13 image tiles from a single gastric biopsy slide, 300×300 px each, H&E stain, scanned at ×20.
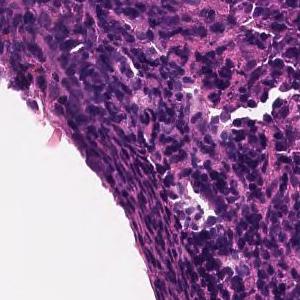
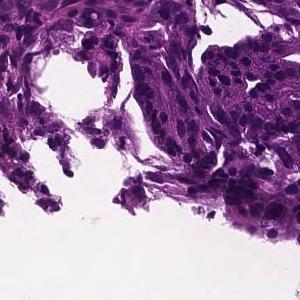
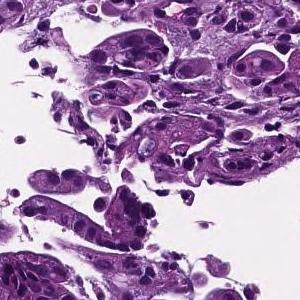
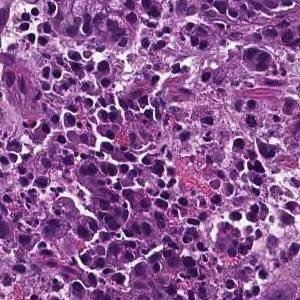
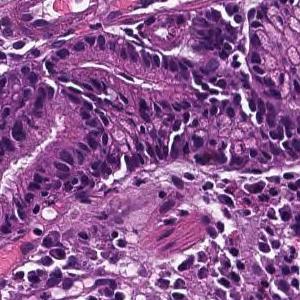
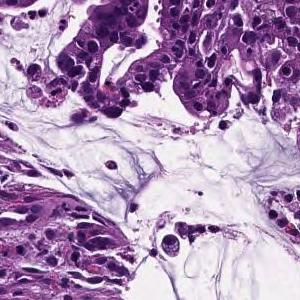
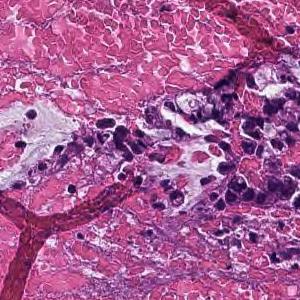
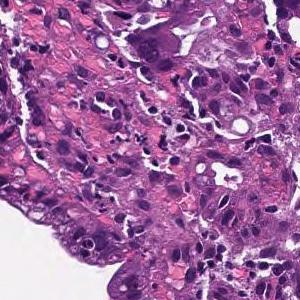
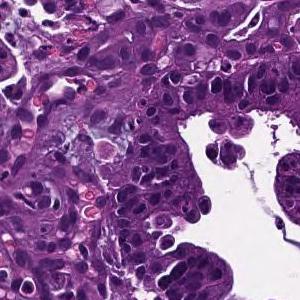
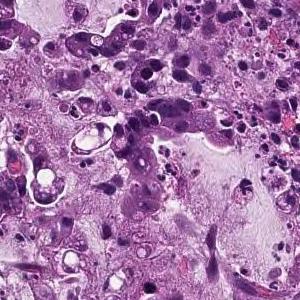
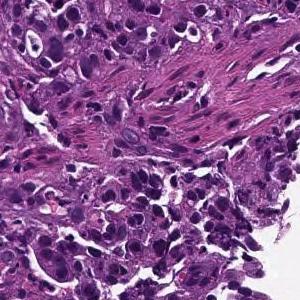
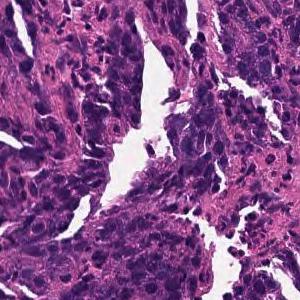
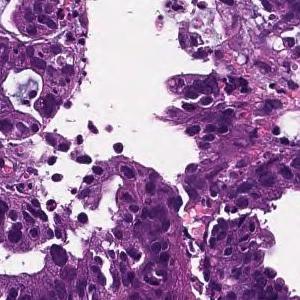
Pathology report for the slide these tiles were cut from. The report and the diagnosis cover the entire slide, so not every feature they name need be visible here, and some tissue shown may not be tumor.
On the superficial epithelium, tumor tissue consisting of large irregular glandular ducts partially fused and infiltrated is observed. Well to moderately differentiated tubular adenocarcinoma (well differentiated tubular adenocarcinoma, moderately differentiated tubular adenocarcinoma)
Tumor subtype: well to moderately differentiated tubular adenocarcinoma.
